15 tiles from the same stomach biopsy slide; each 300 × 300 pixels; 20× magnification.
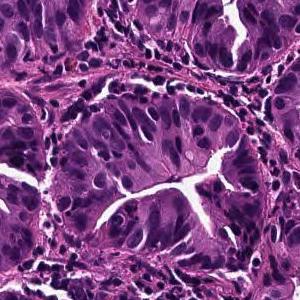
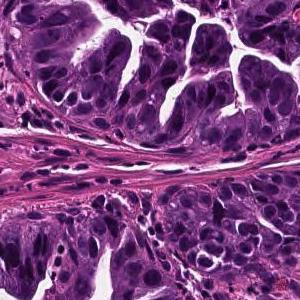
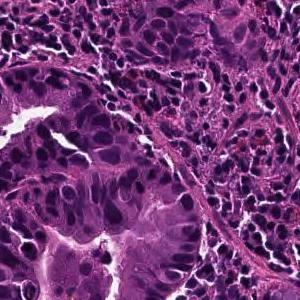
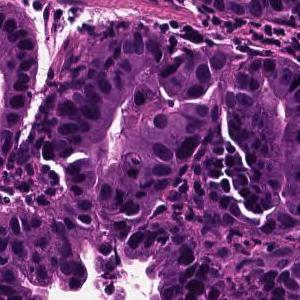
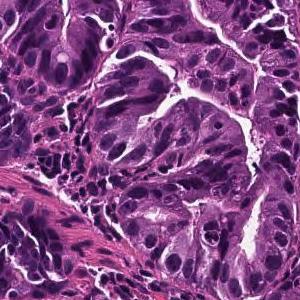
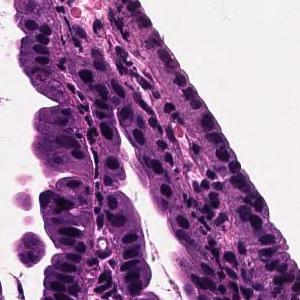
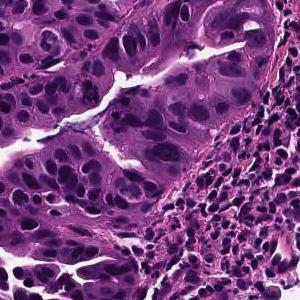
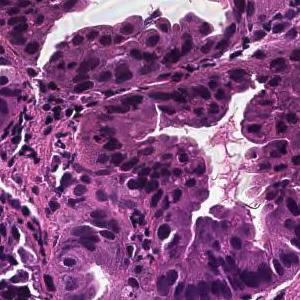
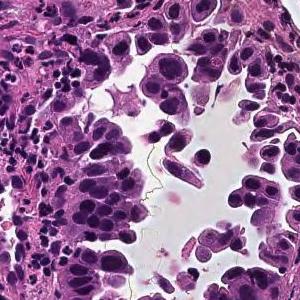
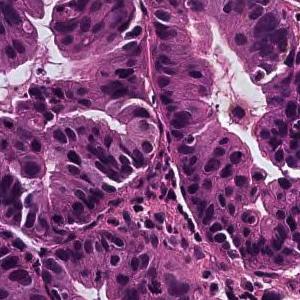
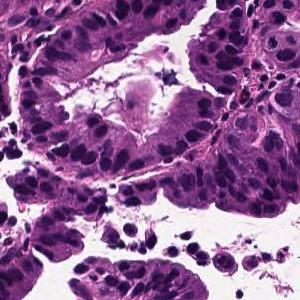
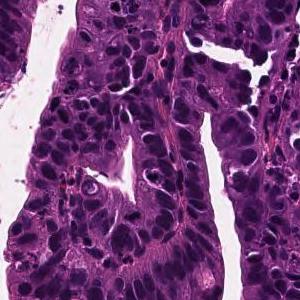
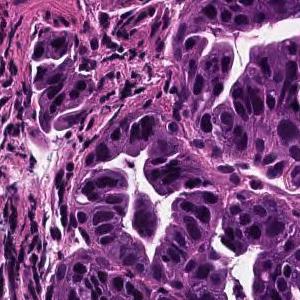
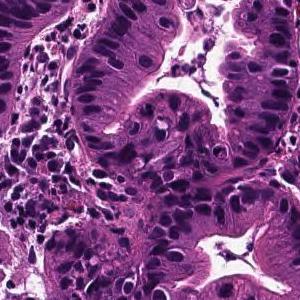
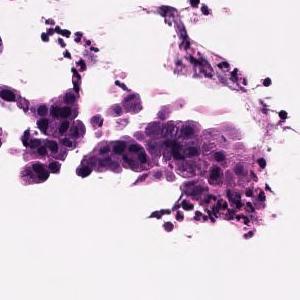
Diagnostic report for the slide these tiles come from. The findings and the diagnosis refer to the entire slide; these tiles show only part of it, possibly with non-tumor tissue, and may not show every feature named.
Tumor cells are large, highly columnar, large club-shaped nuclei, and are associated with chromatin aggregation. Papillary adenocarcinoma.
